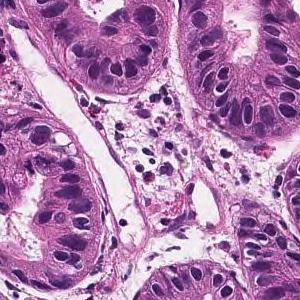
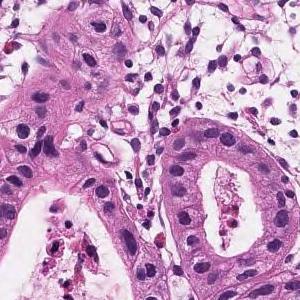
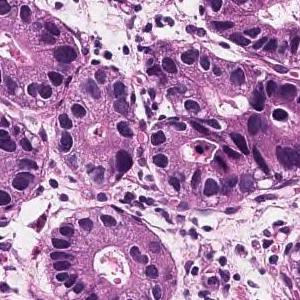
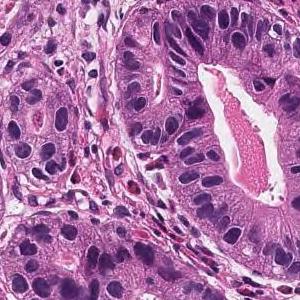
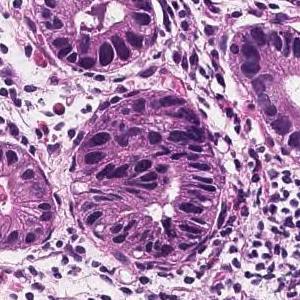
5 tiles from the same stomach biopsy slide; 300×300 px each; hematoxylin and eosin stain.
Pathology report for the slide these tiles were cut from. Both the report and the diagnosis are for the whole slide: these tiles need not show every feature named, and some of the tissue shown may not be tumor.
Tumor tissue in which medium to small irregular ducts infiltrate and proliferate in the submucosa can be seen in the epithelium. Well differentiated tubular adenocarcinoma
